8 image tiles from a single gastric biopsy slide · H&E.
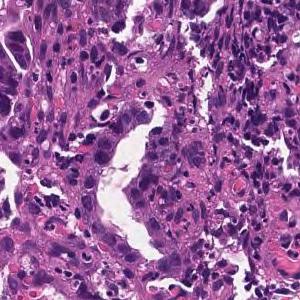
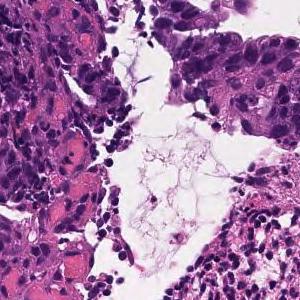
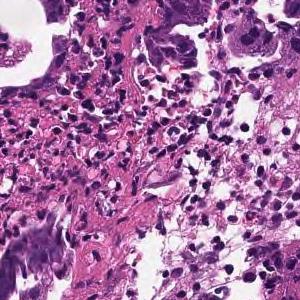
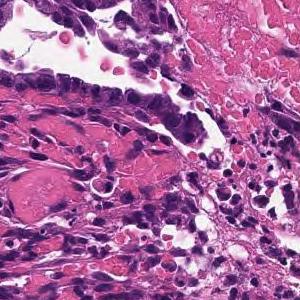
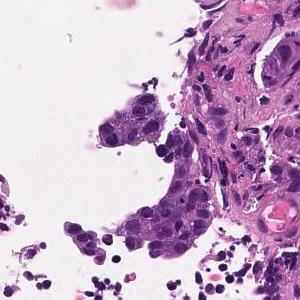
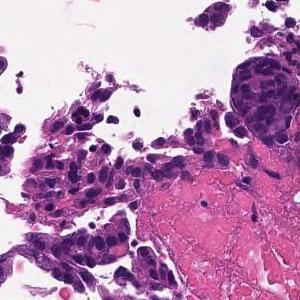
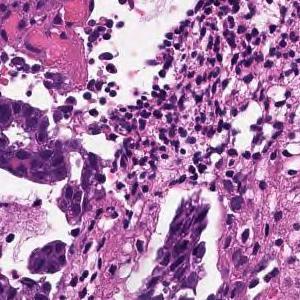
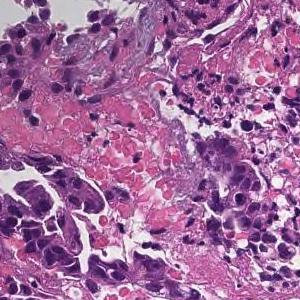
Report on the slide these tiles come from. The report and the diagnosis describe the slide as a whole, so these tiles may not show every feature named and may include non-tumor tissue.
In the superficial epithelium, tumor tissue that invades by forming medium-sized to small, irregular ducts is observed. moderately differentiated tubular adenocarcinoma.
